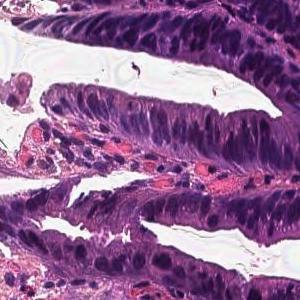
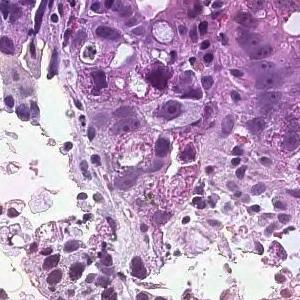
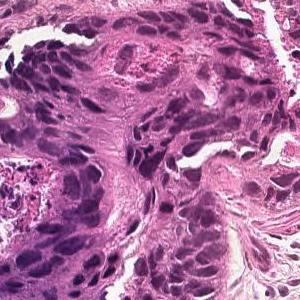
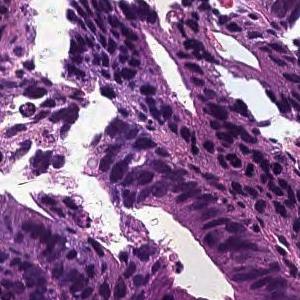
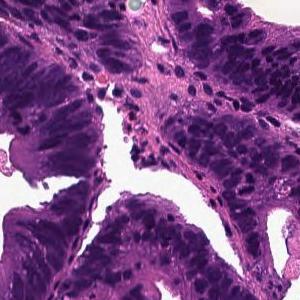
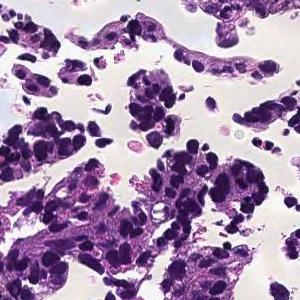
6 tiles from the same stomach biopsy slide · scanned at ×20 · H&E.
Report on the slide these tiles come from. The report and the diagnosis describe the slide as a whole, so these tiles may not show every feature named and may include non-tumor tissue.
In the superficial epithelium, tumor tissue that invades by forming medium-sized to small, irregular ducts is observed. moderately differentiated tubular adenocarcinoma.
